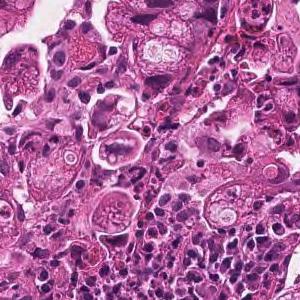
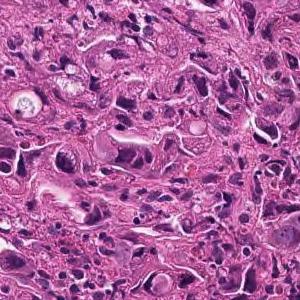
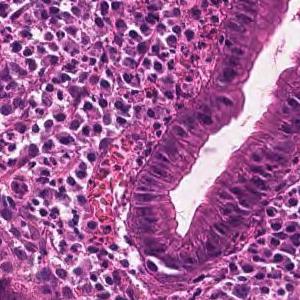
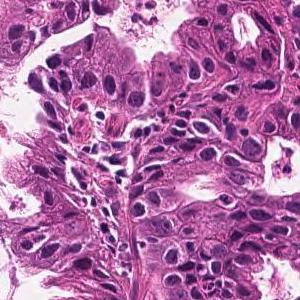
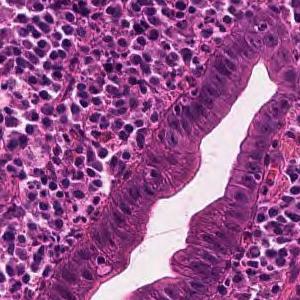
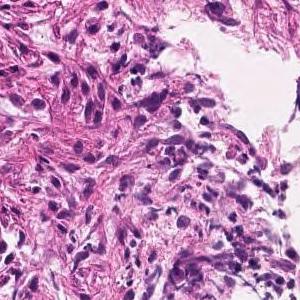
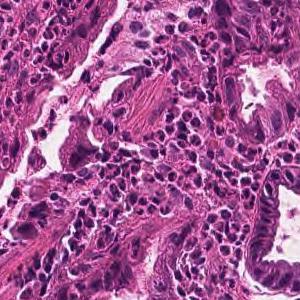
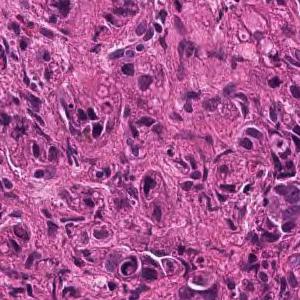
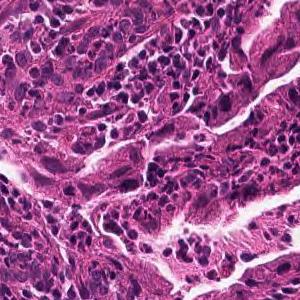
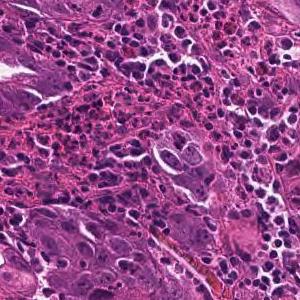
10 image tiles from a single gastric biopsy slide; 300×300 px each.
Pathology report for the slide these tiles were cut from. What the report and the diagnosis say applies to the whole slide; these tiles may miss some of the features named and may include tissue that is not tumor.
Medium to small, irregular glandular ducts are formed in the superficial epithelium, and in some cases, the glandular ducts are fused to show solid alveolar lesions and infiltrating tumor tissue is observed. Moderately to poorly differentiated adenocarcinoma.
